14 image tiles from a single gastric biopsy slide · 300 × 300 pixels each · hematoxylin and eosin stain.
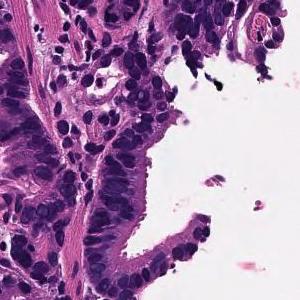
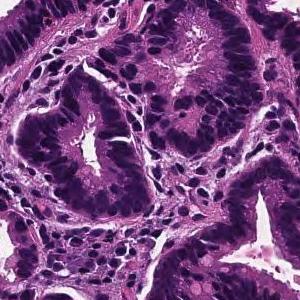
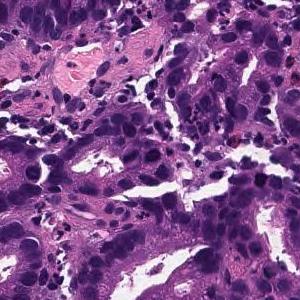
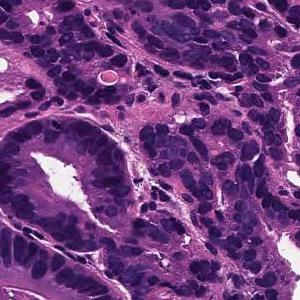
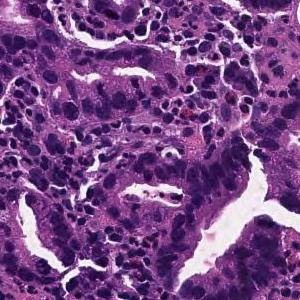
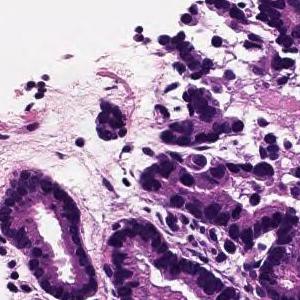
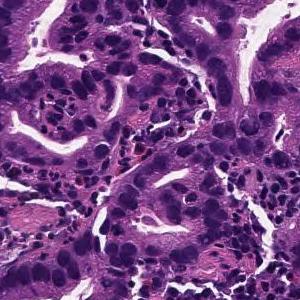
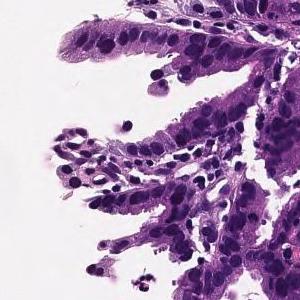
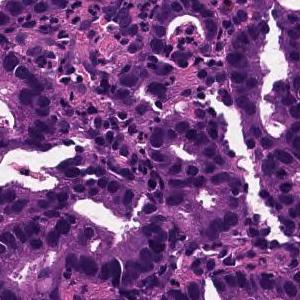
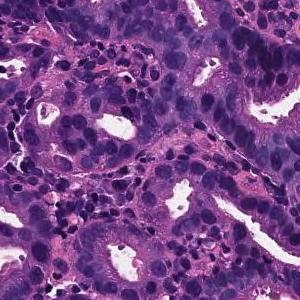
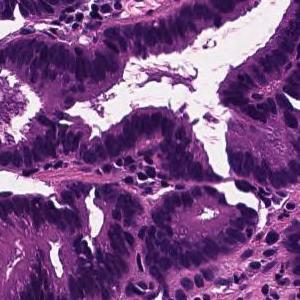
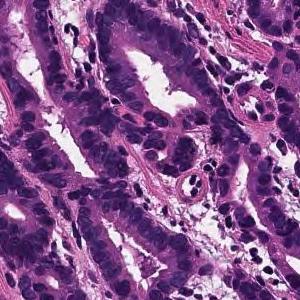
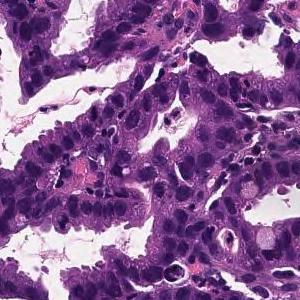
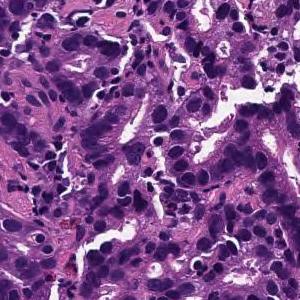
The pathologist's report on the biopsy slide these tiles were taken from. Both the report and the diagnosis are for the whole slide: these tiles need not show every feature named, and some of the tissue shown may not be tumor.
On the superficial epithelium, tumor tissue is found in which medium-sized irregular gland ducts fuse with each other and infiltrate. moderately differentiated tubular adenocarcinoma
